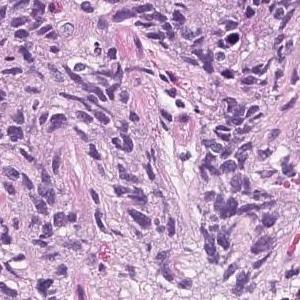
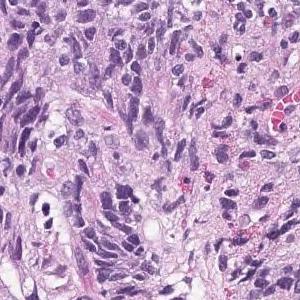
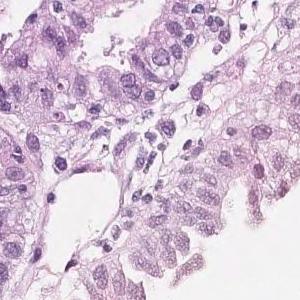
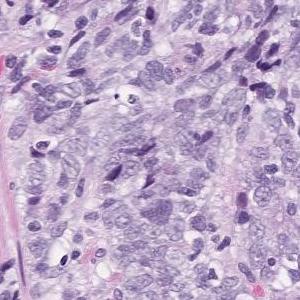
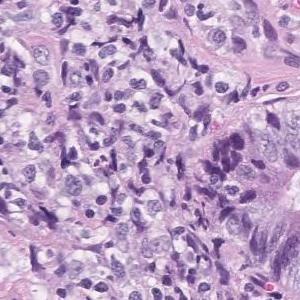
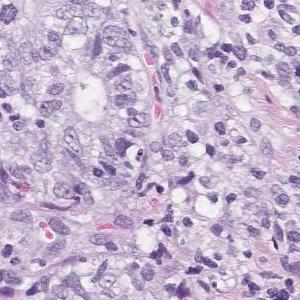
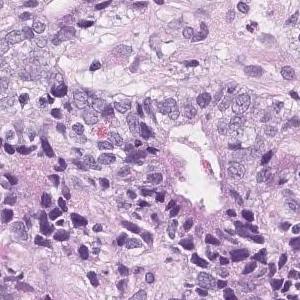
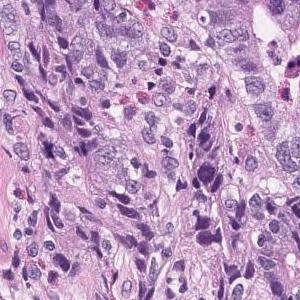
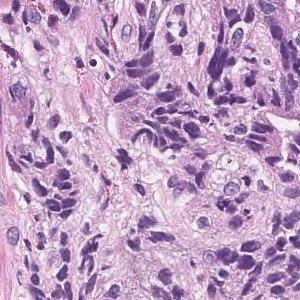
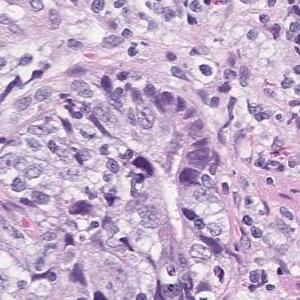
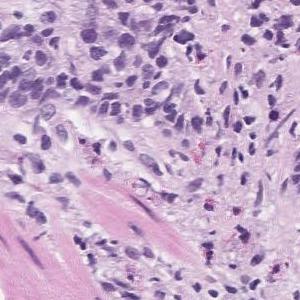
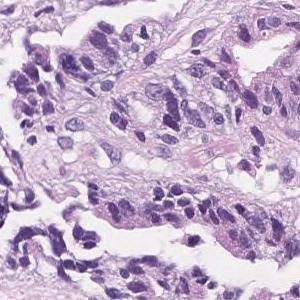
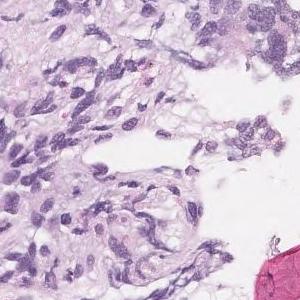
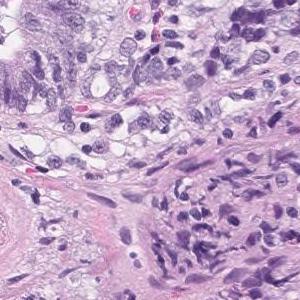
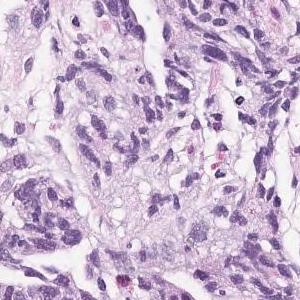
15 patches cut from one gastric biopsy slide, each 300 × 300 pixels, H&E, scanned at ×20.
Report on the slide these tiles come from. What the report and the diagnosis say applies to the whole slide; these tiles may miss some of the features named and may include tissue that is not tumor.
Highly columnar epithelium with disordered nuclear localization proliferates showing fusion ductal construction. moderately differentiated tubular adenocarcinoma
